8 patches cut from one gastric biopsy slide; each 300 × 300 pixels; hematoxylin and eosin stain; 20× magnification.
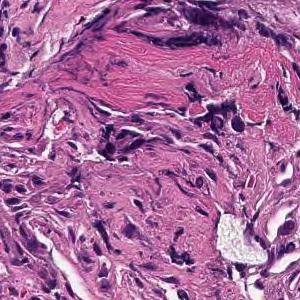
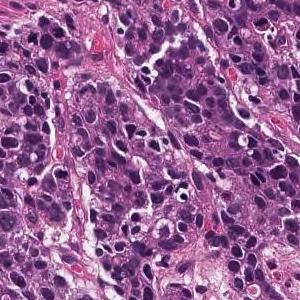
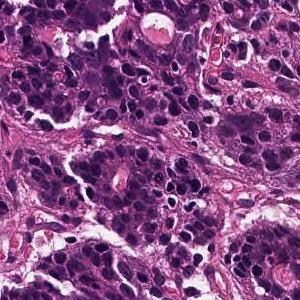
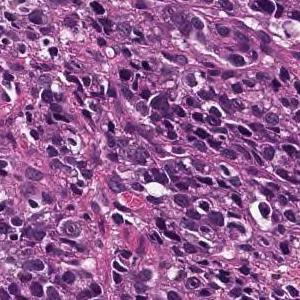
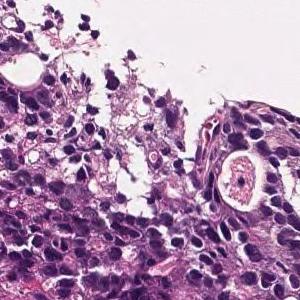
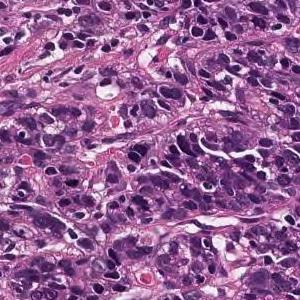
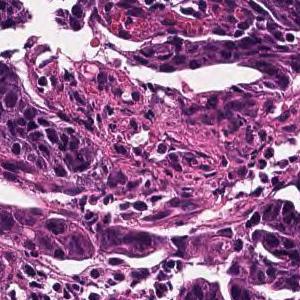
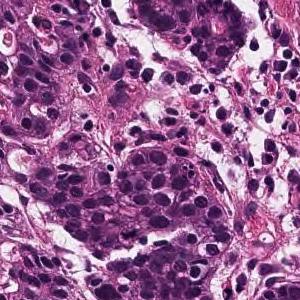
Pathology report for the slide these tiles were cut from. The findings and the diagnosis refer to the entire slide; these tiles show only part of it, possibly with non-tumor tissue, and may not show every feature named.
Medium to small, irregular glandular ducts are formed in the superficial epithelium, and in some cases, the glandular ducts are fused to show solid alveolar lesions and infiltrating tumor tissue is observed. Moderately to poorly differentiated adenocarcinoma.
